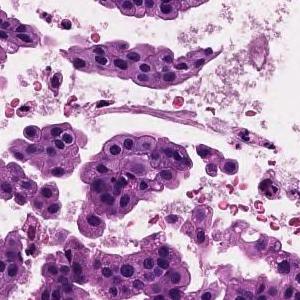
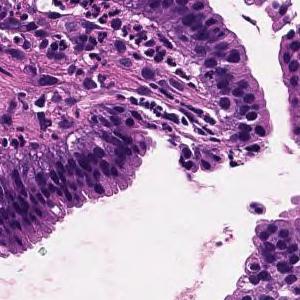
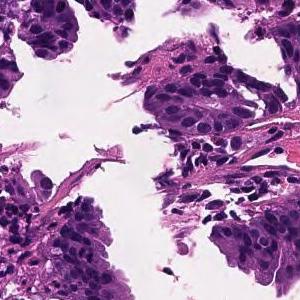
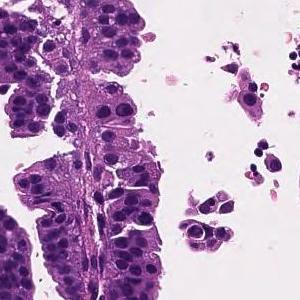
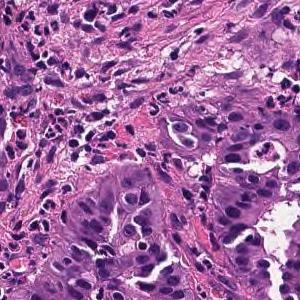
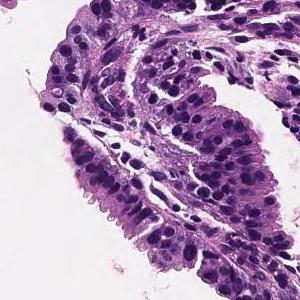
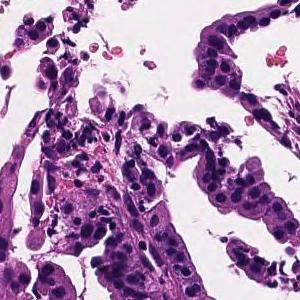
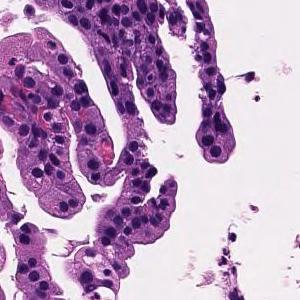
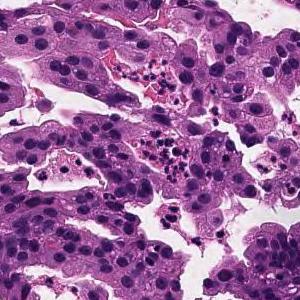
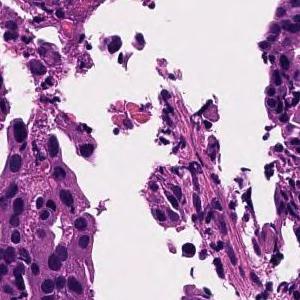
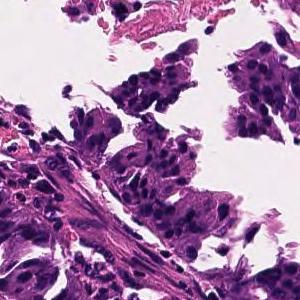
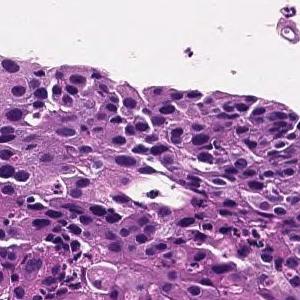
12 image tiles from a single gastric biopsy slide; hematoxylin and eosin stain; ×20.
The pathologist's report on the biopsy slide these tiles were taken from. The findings and the diagnosis refer to the entire slide; these tiles show only part of it, possibly with non-tumor tissue, and may not show every feature named.
On the superficial epithelium, tumor tissue consisting of large, irregular glandular ducts partially fused and infiltrated is observed. Well to moderately differentiated tubular adenocarcinoma (well differentiated tubular adenocarcinoma, moderately differentiated tubular adenocarcinoma)
Tumor subtype: well to moderately differentiated tubular adenocarcinoma.
